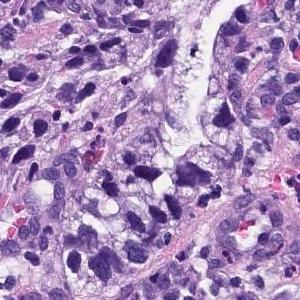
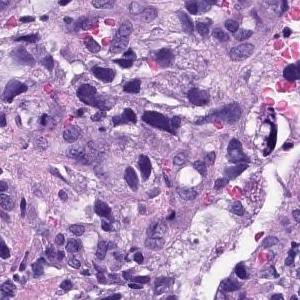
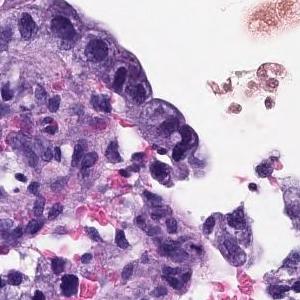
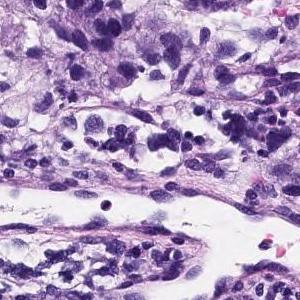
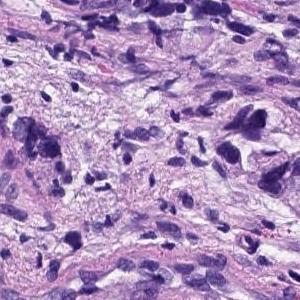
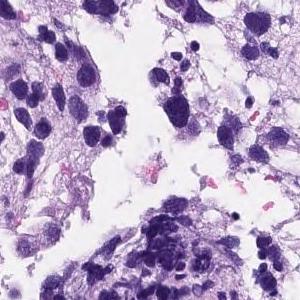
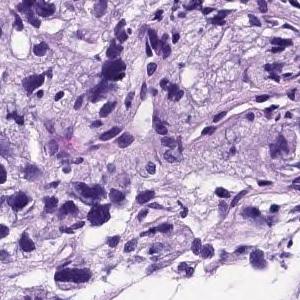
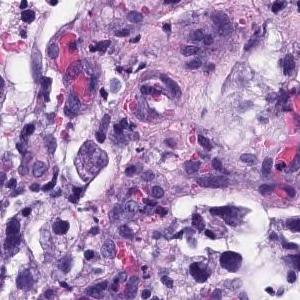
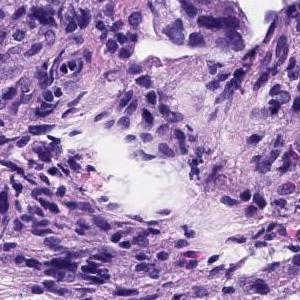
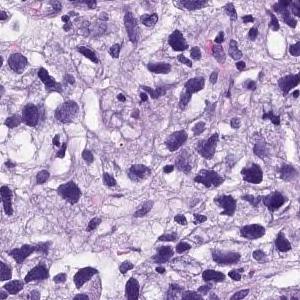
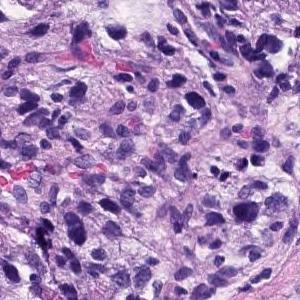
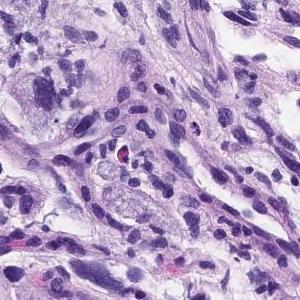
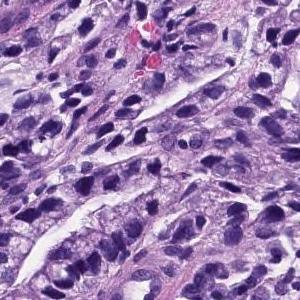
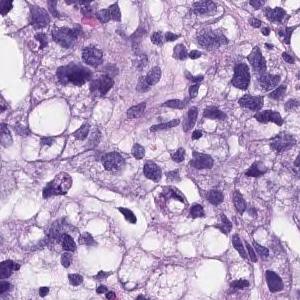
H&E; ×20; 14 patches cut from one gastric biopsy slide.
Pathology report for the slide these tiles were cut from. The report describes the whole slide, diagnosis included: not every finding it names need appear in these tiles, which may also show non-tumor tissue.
Medium to small, irregular glandular ducts are formed in the superficial epithelium, and in some cases, the glandular ducts are fused to show solid alveolar lesions and infiltrating tumor tissue is observed. Poorly differentiated adenocarcinoma, Moderately differentiated adenocarcinoma.
The dataset labels this slide moderately differentiated tubular adenocarcinoma.
